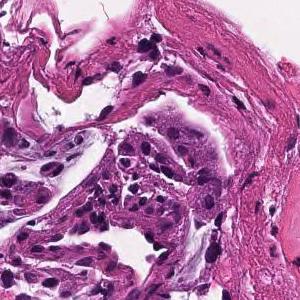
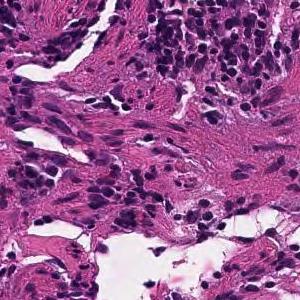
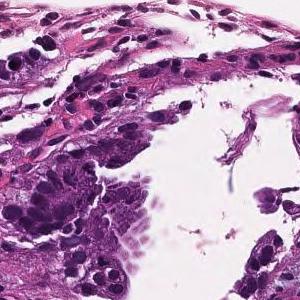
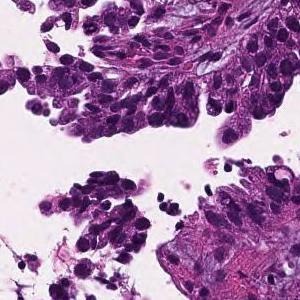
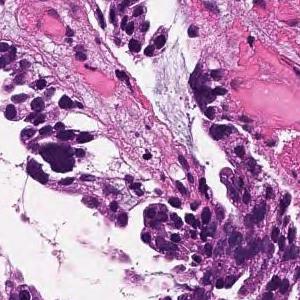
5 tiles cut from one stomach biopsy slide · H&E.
Pathology report for the biopsy slide these tiles were cut from. What the report and the diagnosis say applies to the whole slide; these tiles may miss some of the features named and may include tissue that is not tumor.
Tumor cells are large, highly columnar, large club-shaped nuclei, and are associated with chromatin aggregation. Papillary adenocarcinoma.
